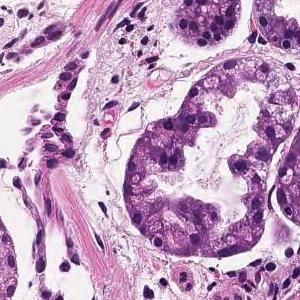
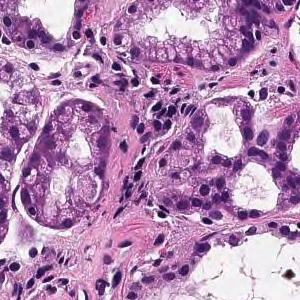
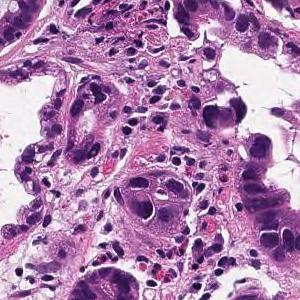
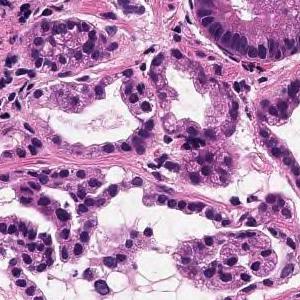
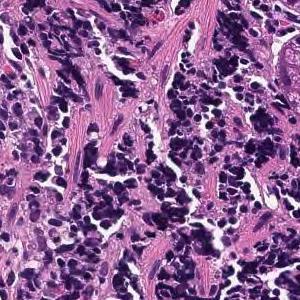
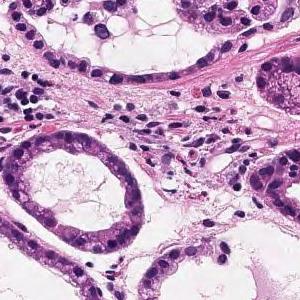
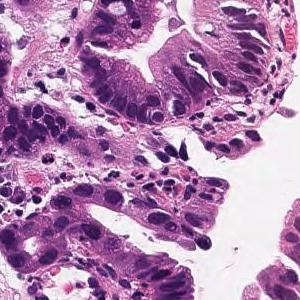
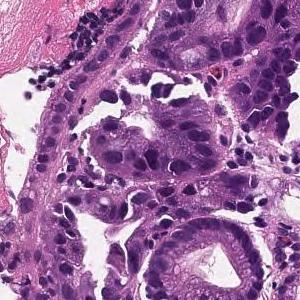
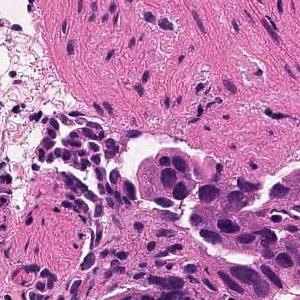
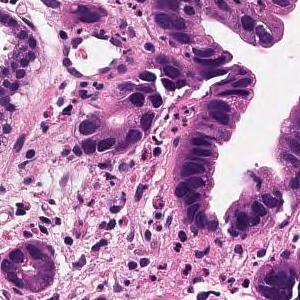
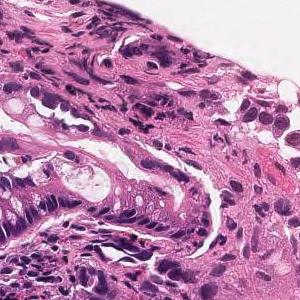
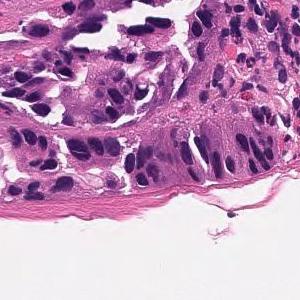
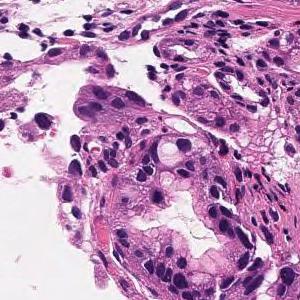
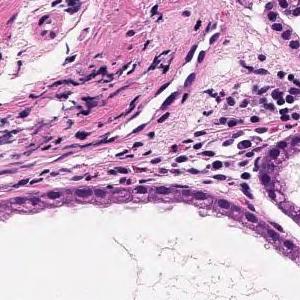
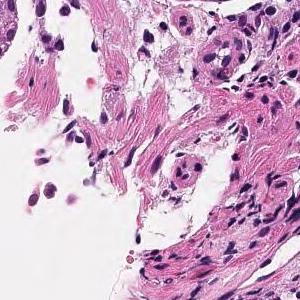
H&E stain · scanned at ×20 · 15 tiles cut from one stomach biopsy slide · 300 × 300 pixels each.
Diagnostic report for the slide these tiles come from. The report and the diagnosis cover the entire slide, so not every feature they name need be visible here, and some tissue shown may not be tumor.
On the superficial epithelium, tumor tissue consisting of large, irregular glandular ducts partially fused and infiltrated is observed. Well to moderately differentiated tubular adenocarcinoma (well differentiated tubular adenocarcinoma, moderately differentiated tubular adenocarcinoma)
Tumor subtype: well to moderately differentiated tubular adenocarcinoma.
